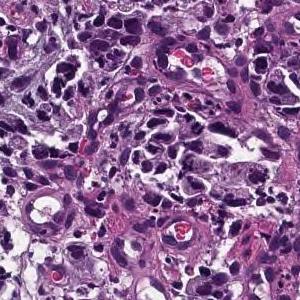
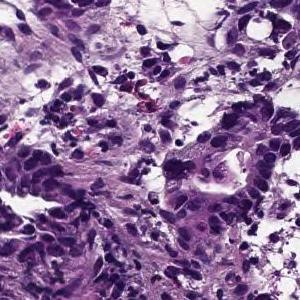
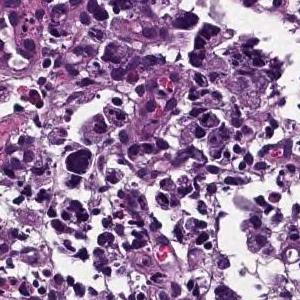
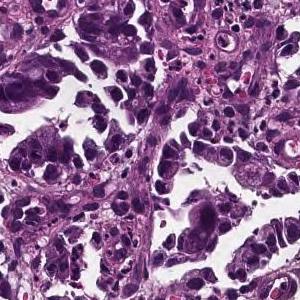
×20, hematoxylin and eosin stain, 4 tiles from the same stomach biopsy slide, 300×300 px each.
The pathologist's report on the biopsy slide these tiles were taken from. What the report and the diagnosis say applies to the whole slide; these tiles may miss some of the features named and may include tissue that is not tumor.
Medium to small, irregular glandular ducts are formed in the superficial epithelium, and in some cases, the glandular ducts are fused to show solid alveolar lesions and infiltrating tumor tissue is observed. Moderately to poorly differentiated adenocarcinoma.
